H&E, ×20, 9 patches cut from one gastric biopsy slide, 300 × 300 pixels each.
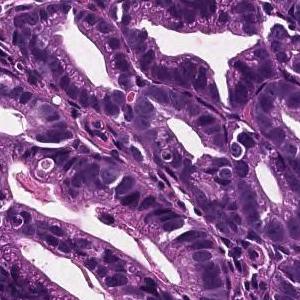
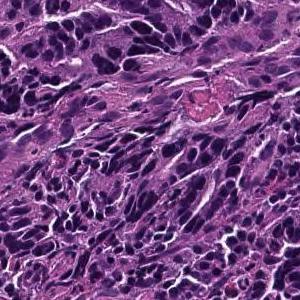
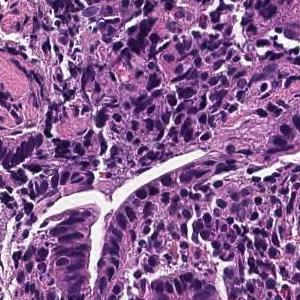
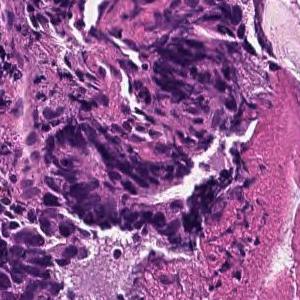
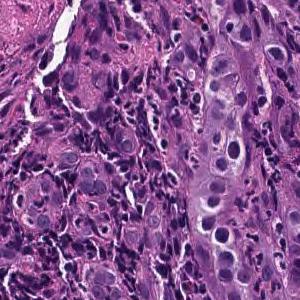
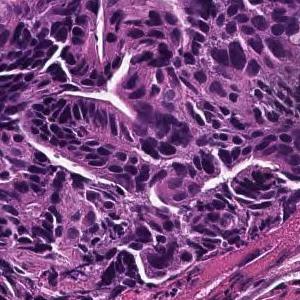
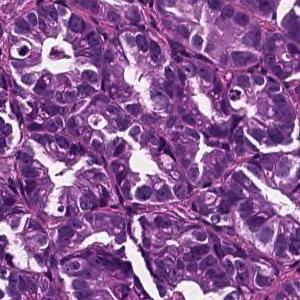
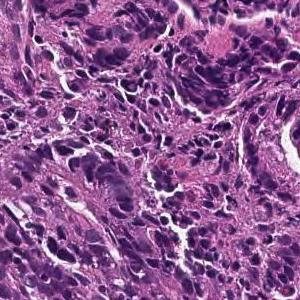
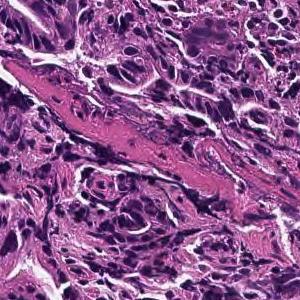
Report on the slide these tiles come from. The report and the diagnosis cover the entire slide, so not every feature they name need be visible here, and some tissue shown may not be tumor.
On the superficial epithelium, tumor tissue consisting of large irregular glandular ducts partially fused and infiltrated is observed. Well to moderately differentiated tubular adenocarcinoma (well differentiated tubular adenocarcinoma, moderately differentiated tubular adenocarcinoma)
Subtype: Well to moderately differentiated tubular adenocarcinoma.
